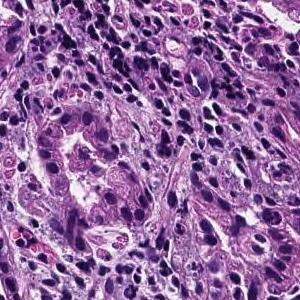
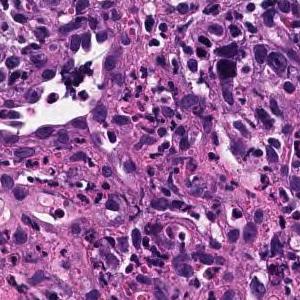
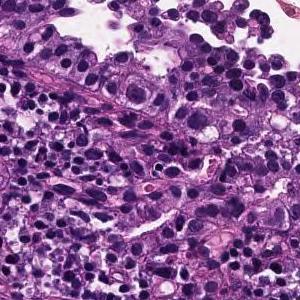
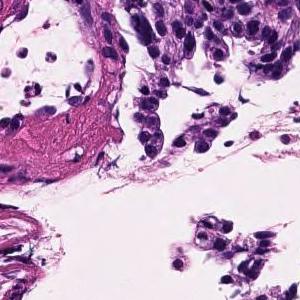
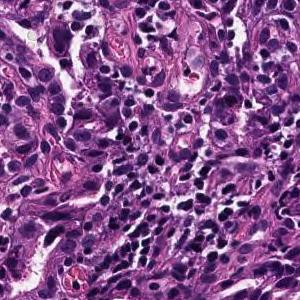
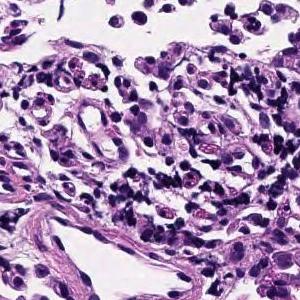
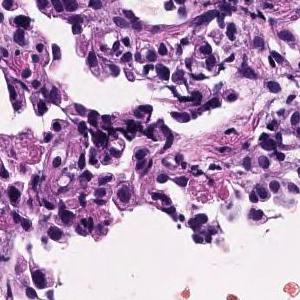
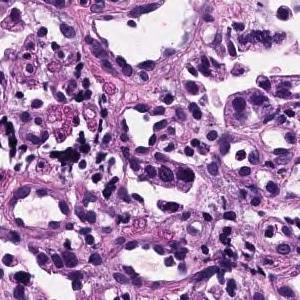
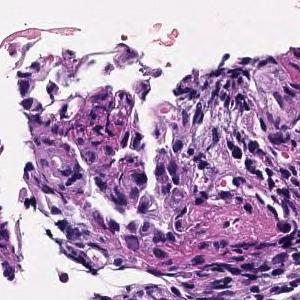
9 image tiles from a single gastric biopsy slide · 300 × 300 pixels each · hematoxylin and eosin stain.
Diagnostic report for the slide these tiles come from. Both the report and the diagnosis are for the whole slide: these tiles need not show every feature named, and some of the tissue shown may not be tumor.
Medium to small, irregular glandular ducts are formed in the superficial epithelium, and in some cases, the glandular ducts are fused to show solid alveolar lesions and infiltrating tumor tissue is observed. Moderately to poorly differentiated adenocarcinoma.
